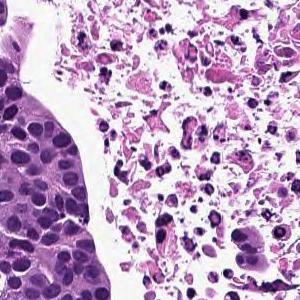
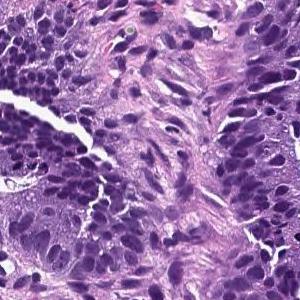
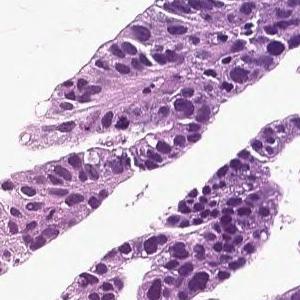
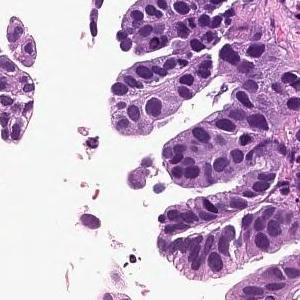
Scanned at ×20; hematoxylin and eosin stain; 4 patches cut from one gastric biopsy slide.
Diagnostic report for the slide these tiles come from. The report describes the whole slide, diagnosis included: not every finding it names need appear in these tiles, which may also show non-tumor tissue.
Tumor cells are large, highly columnar, large club-shaped nuclei, and are associated with chromatin aggregation. Papillary adenocarcinoma.
